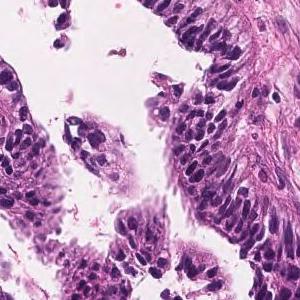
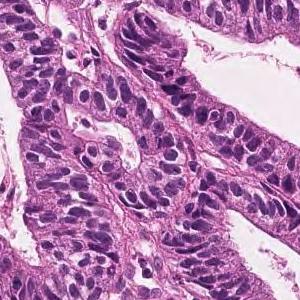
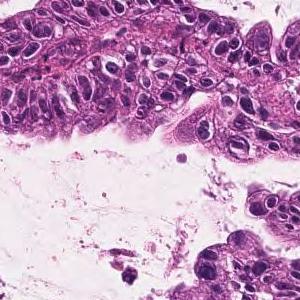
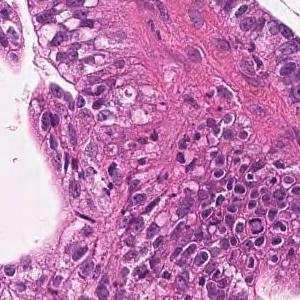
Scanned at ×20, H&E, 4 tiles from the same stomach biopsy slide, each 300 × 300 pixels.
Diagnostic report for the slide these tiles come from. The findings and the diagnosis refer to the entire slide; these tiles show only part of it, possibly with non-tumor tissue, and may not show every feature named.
Tumor cells are large, highly columnar, large club-shaped nuclei, and are associated with chromatin aggregation. Papillary adenocarcinoma.
